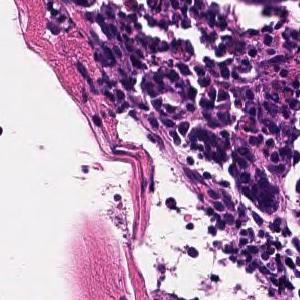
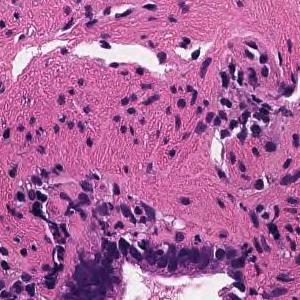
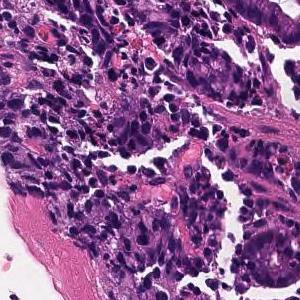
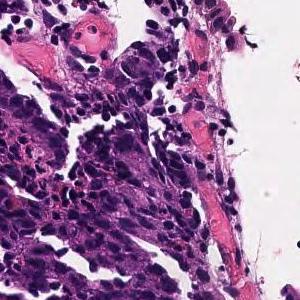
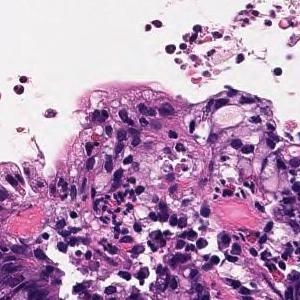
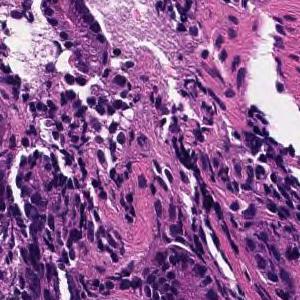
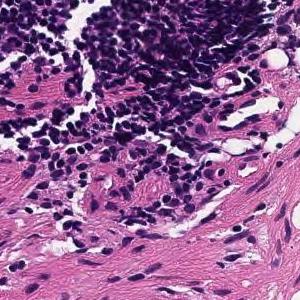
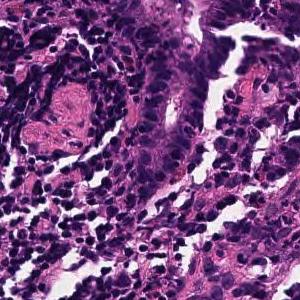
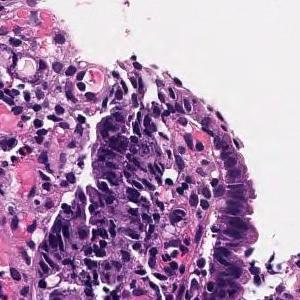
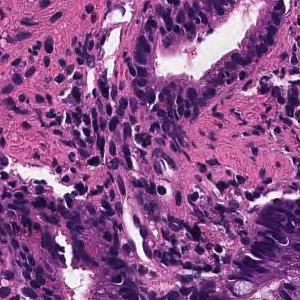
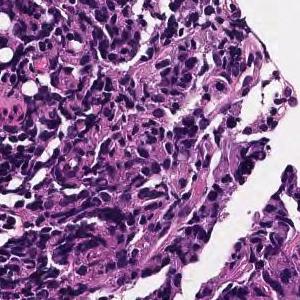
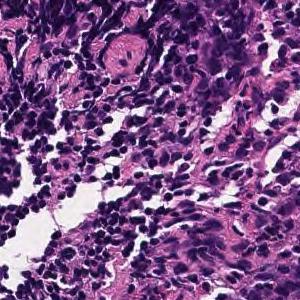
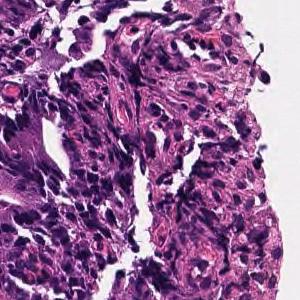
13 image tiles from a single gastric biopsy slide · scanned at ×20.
Report on the slide these tiles come from. The report and the diagnosis describe the slide as a whole, so these tiles may not show every feature named and may include non-tumor tissue.
In the superficial epithelium, tumor tissue that invades by forming medium-sized to small, irregular ducts is observed. moderately differentiated tubular adenocarcinoma.
